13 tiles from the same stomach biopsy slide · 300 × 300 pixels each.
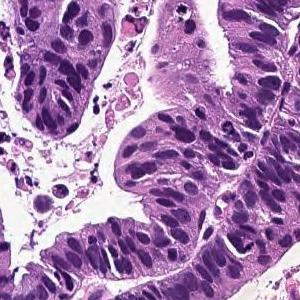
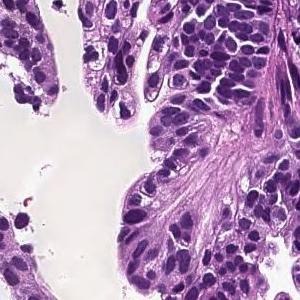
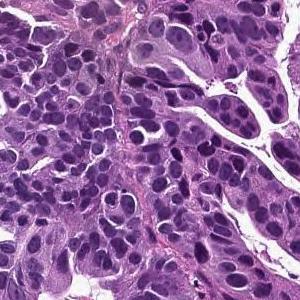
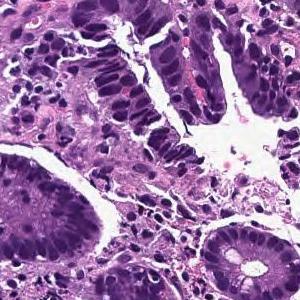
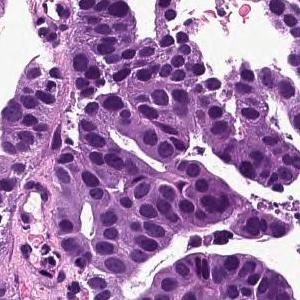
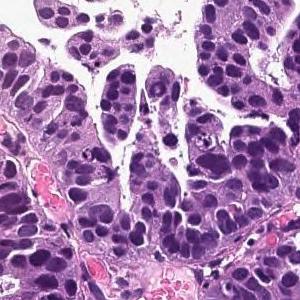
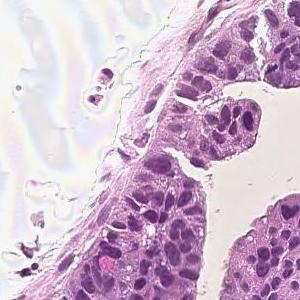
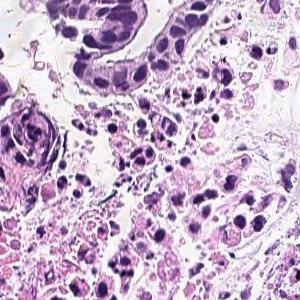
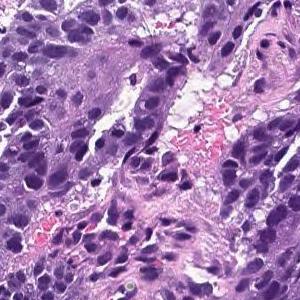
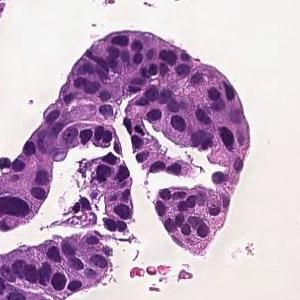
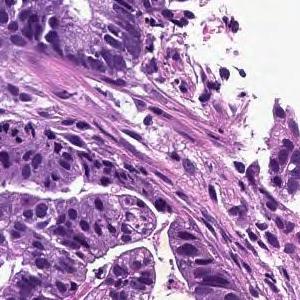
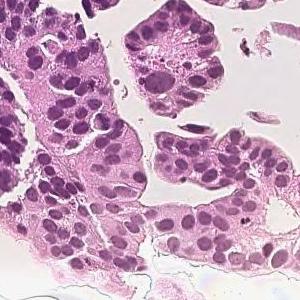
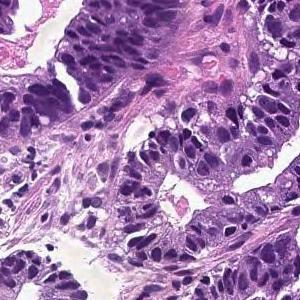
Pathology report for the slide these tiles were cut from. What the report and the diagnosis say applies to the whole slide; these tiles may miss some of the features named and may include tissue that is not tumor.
Tumor cells are large, highly columnar, large club-shaped nuclei, and are associated with chromatin aggregation. Papillary adenocarcinoma.
